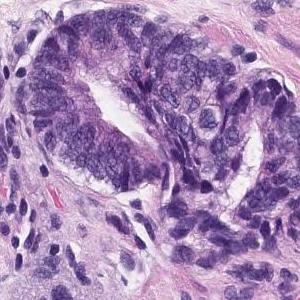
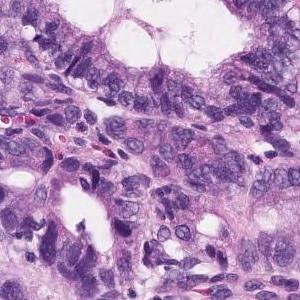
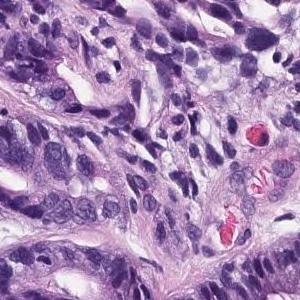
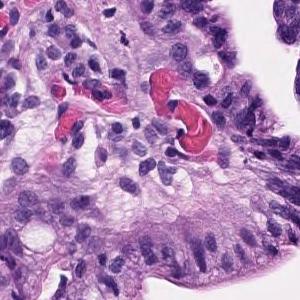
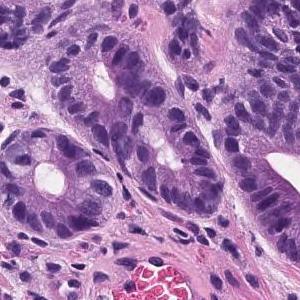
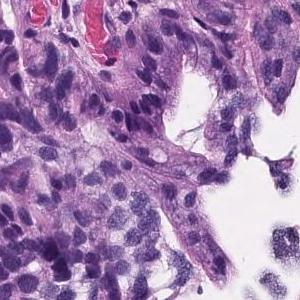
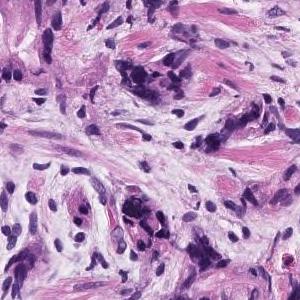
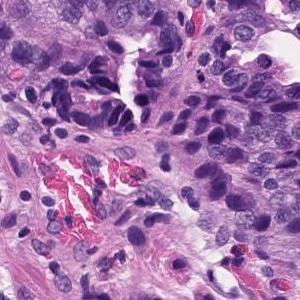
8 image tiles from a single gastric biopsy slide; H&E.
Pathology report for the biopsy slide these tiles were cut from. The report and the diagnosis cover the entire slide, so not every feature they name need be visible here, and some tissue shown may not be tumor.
In the superficial epithelium, tumor tissue that invades by forming medium-sized to small, irregular ducts is observed. Moderately differentiated adenocarcinoma.
Classified as moderately differentiated tubular adenocarcinoma.
